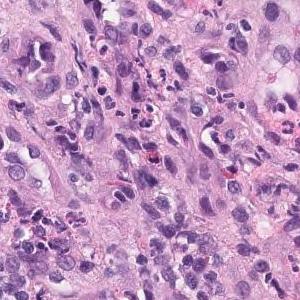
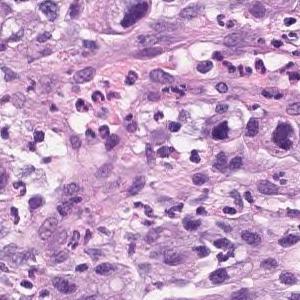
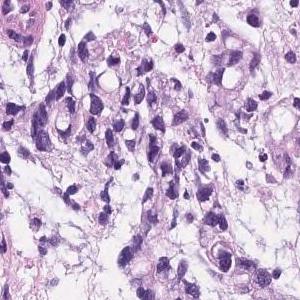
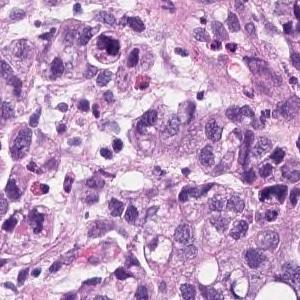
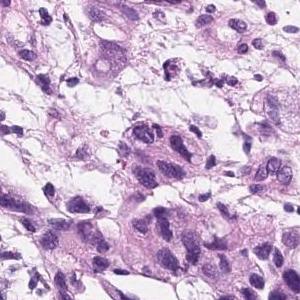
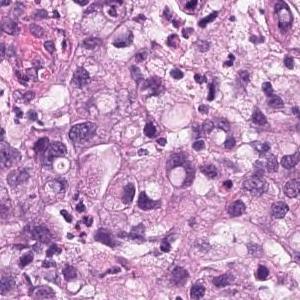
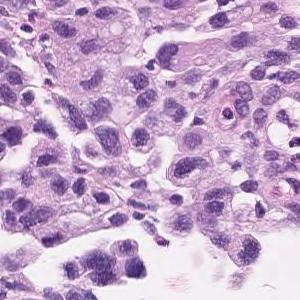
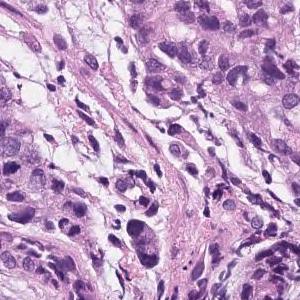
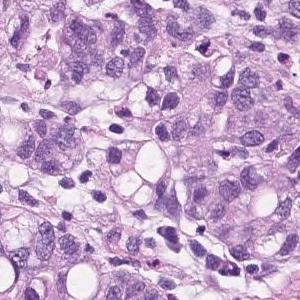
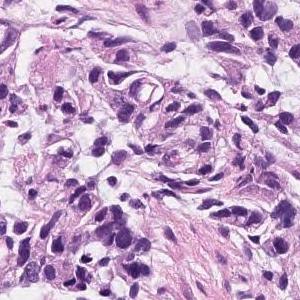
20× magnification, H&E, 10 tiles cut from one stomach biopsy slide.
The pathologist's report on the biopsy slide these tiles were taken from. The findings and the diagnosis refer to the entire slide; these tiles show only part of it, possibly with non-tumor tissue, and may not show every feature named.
Group 5, Adenocarcinoma. Poorly differentiated adenocarcinoma, non-solid type
The non-solid type named here is a Japanese Classification of Gastric Carcinoma category.
